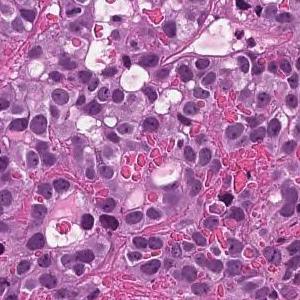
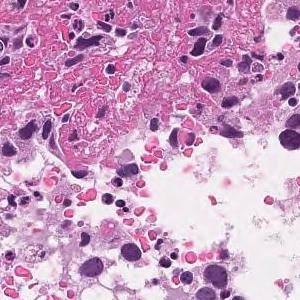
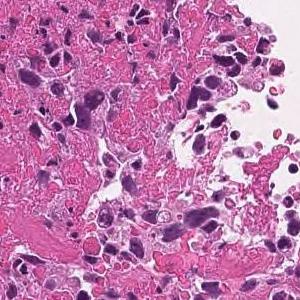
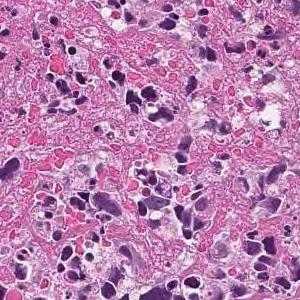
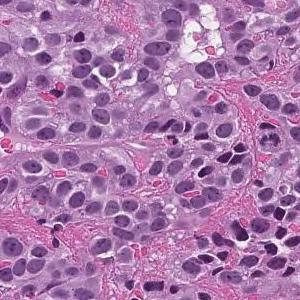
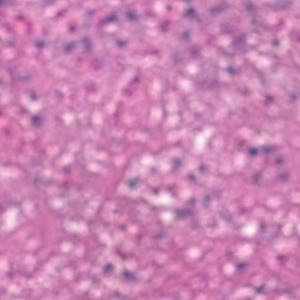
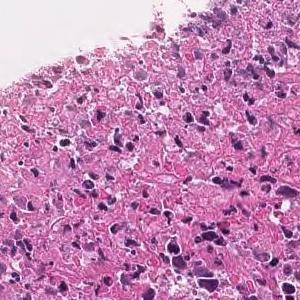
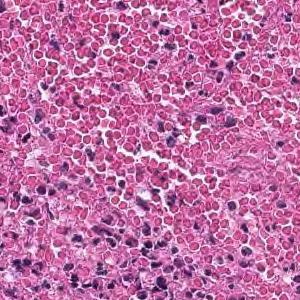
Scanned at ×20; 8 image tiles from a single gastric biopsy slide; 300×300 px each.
Pathology report for the slide these tiles were cut from. The report and the diagnosis cover the entire slide, so not every feature they name need be visible here, and some tissue shown may not be tumor.
The superficial epithelium shows a large sheet-like shape, and some tumor tissue infiltrates with small irregular ducts. Poorly differentiated adenocarcinoma, solid-type
Classified as poorly differentiated adenocarcinoma, solid type, a category of the Japanese Classification of Gastric Carcinoma; in the WHO 2019 classification it is tubular adenocarcinoma, poorly differentiated.
